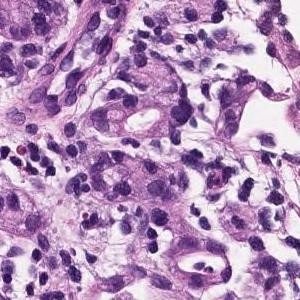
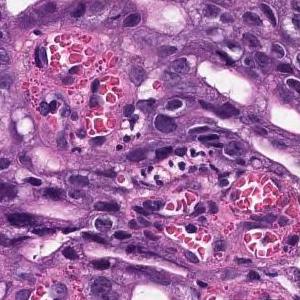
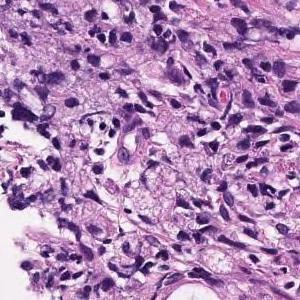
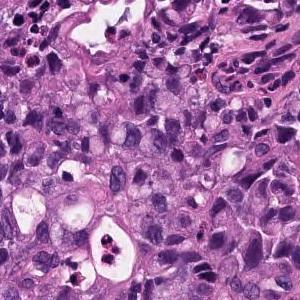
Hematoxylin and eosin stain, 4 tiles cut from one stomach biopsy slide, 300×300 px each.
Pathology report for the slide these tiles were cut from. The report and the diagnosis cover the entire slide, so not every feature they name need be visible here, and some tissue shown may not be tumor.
Atypical epithelium forms irregularly fused gland ducts and proliferates. Poorly differentiated adenocarcinoma.
Classified as poorly differentiated adenocarcinoma, non-solid type.
The term "non-solid type" comes from the Japanese Classification of Gastric Carcinoma.
